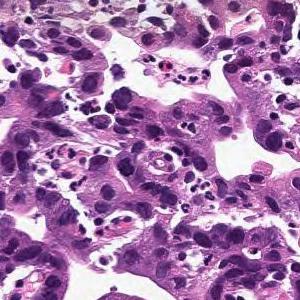
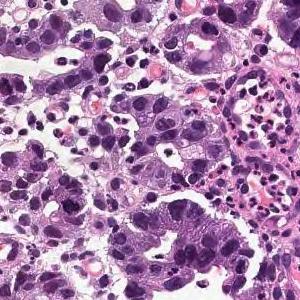
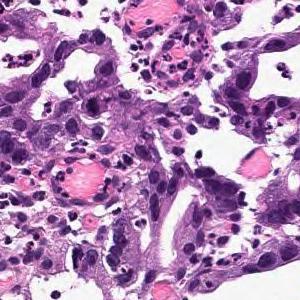
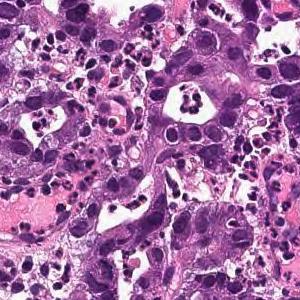
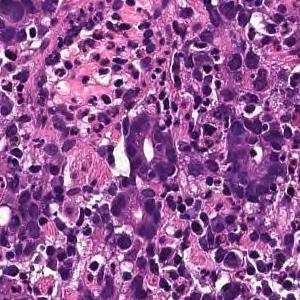
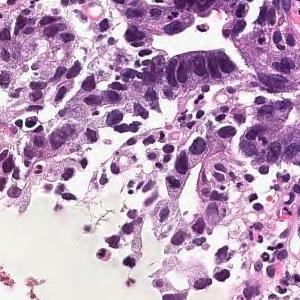
Scanned at ×20 · hematoxylin and eosin stain · 6 image tiles from a single gastric biopsy slide.
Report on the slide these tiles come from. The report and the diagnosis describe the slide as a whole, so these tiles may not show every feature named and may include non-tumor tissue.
On the superficial epithelium, a tumor tissue consisting of a large, irregular glandular duct partially fused and infiltrating with a small alveolar shape is observed. Well or moderately differentiated tubular adenocarcinoma (well differentiated tubular adenocarcinoma, moderately differentiated tubular adenocarcinoma)
Subtype: Well to moderately differentiated tubular adenocarcinoma.
